14 image tiles from a single gastric biopsy slide, H&E stain, 20× magnification.
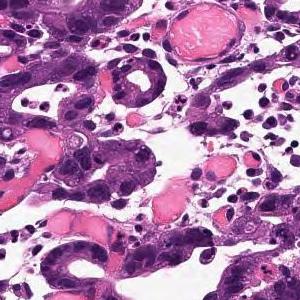
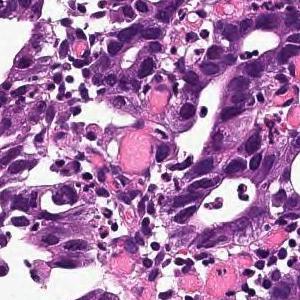
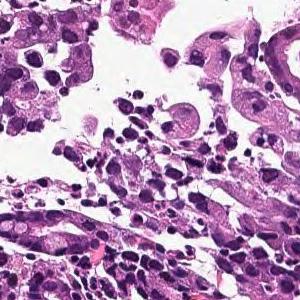
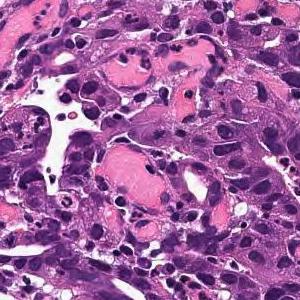
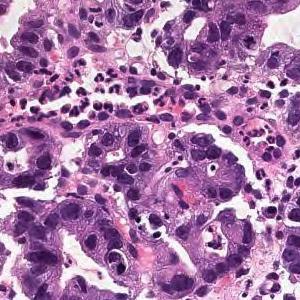
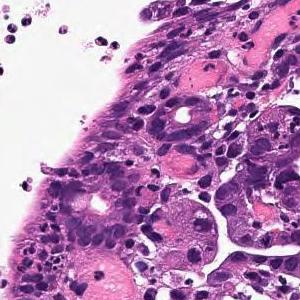
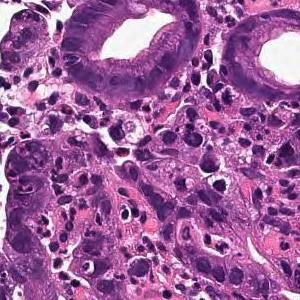
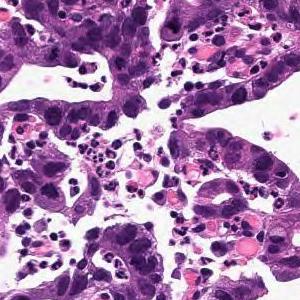
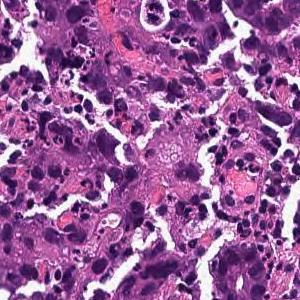
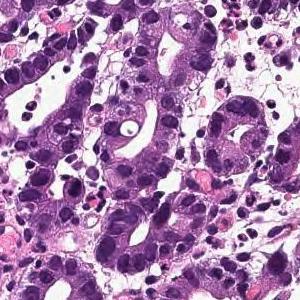
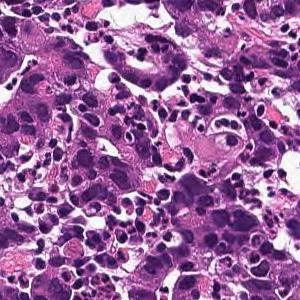
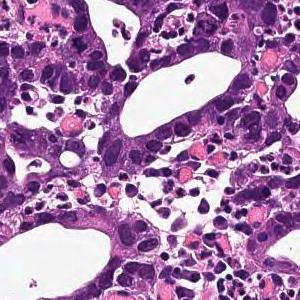
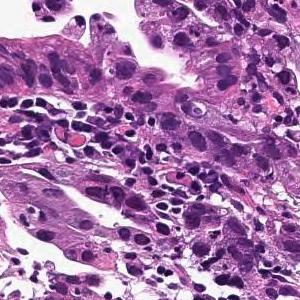
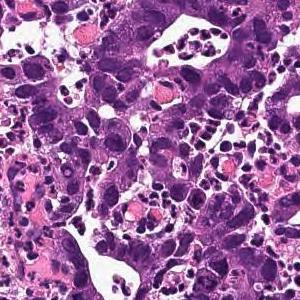
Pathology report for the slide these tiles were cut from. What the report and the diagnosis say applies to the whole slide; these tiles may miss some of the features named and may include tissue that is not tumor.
On the superficial epithelium, a tumor tissue consisting of a large, irregular glandular duct partially fused and infiltrating with a small alveolar shape is observed. Well or moderately differentiated tubular adenocarcinoma (well differentiated tubular adenocarcinoma, moderately differentiated tubular adenocarcinoma)
Histologic type: Well to moderately differentiated tubular adenocarcinoma.
